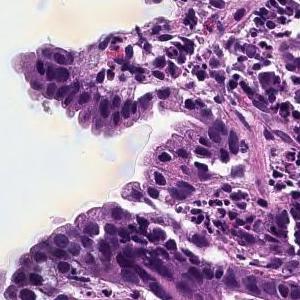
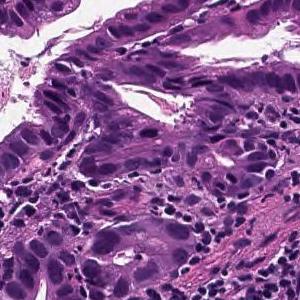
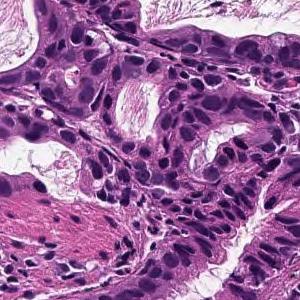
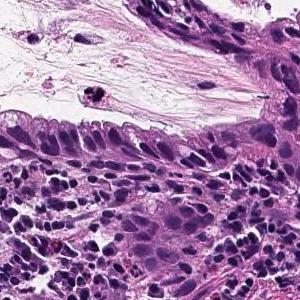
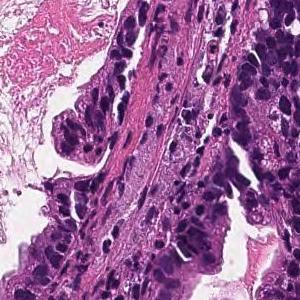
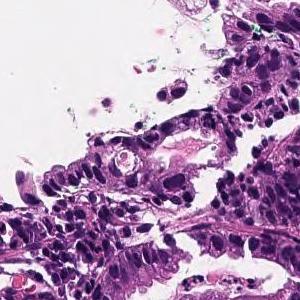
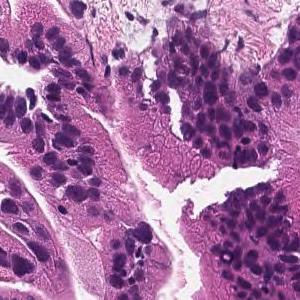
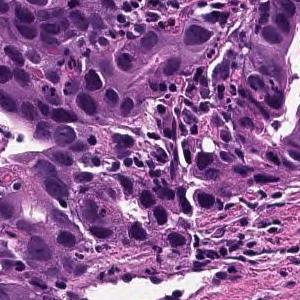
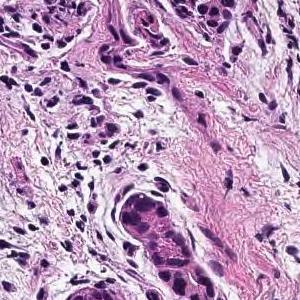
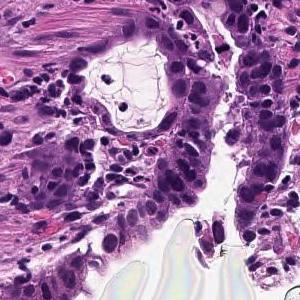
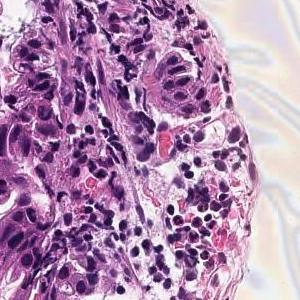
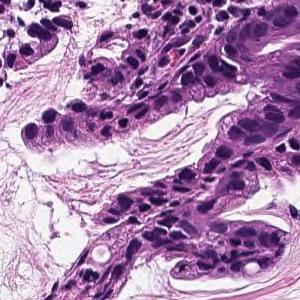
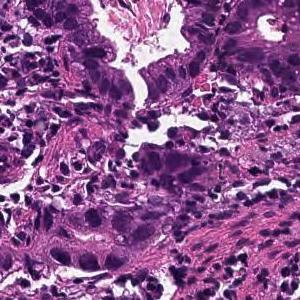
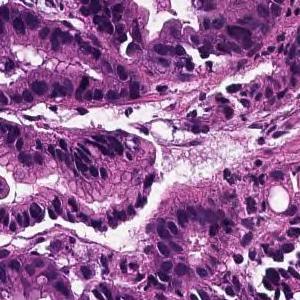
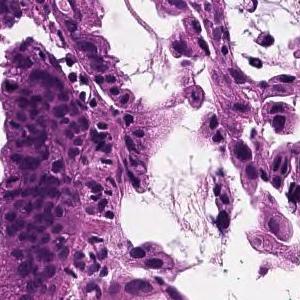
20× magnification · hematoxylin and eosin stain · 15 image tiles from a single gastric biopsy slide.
Report on the slide these tiles come from. The findings and the diagnosis refer to the entire slide; these tiles show only part of it, possibly with non-tumor tissue, and may not show every feature named.
Tumor cells are large, highly columnar, large club-shaped nuclei, and are associated with chromatin aggregation. Papillary adenocarcinoma.
